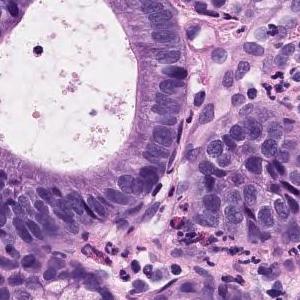
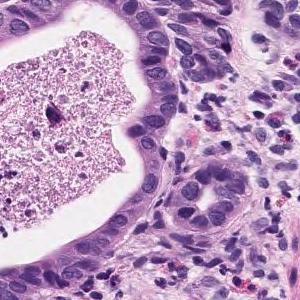
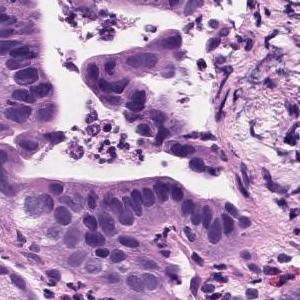
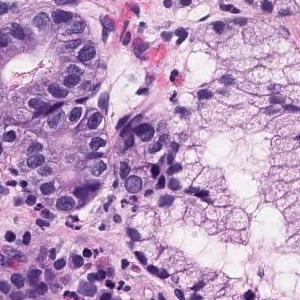
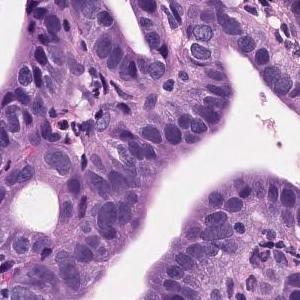
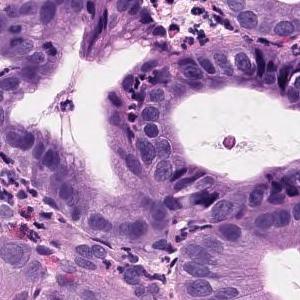
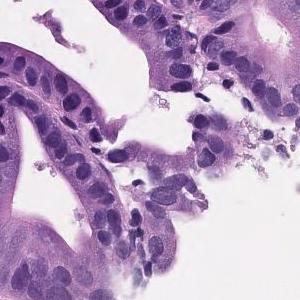
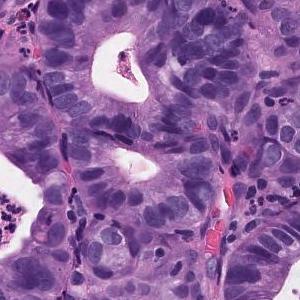
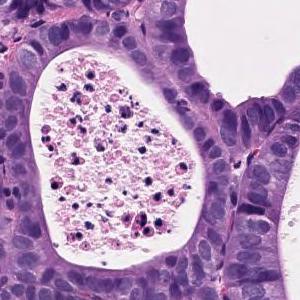
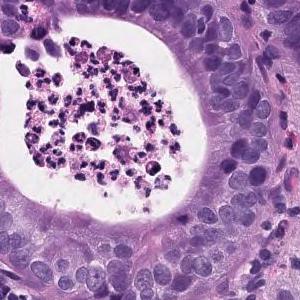
10 patches cut from one gastric biopsy slide · H&E stain.
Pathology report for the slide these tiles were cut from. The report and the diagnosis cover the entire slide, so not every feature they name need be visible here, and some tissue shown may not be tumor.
Tumor tissue consisting of proliferative medium to large, round or irregular glandular ducts in the superficial epithelium. Well differentiated adenocarcinoma.
Histological subtype: Well differentiated tubular adenocarcinoma.
